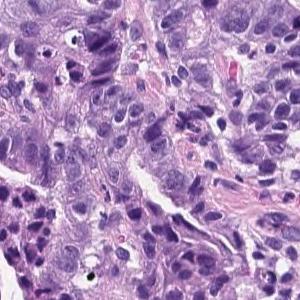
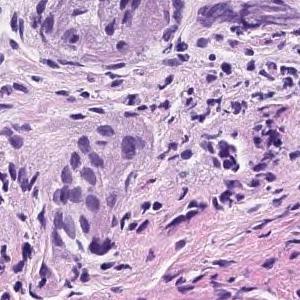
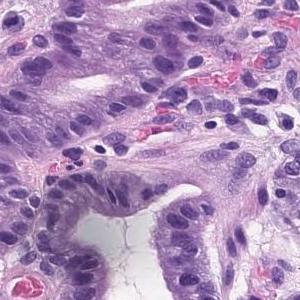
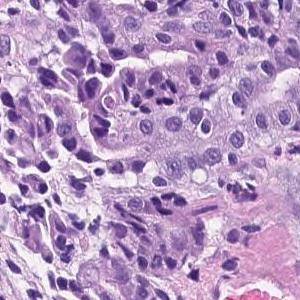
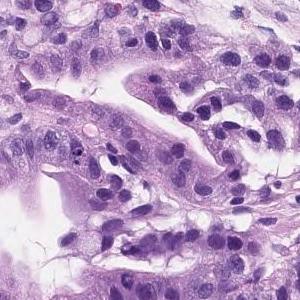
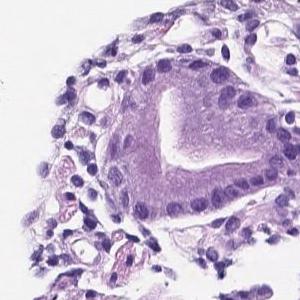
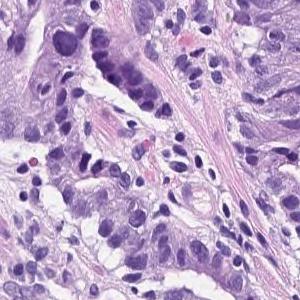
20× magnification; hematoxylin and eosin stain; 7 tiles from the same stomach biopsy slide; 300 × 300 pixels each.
Pathology report for the biopsy slide these tiles were cut from. The report and the diagnosis describe the slide as a whole, so these tiles may not show every feature named and may include non-tumor tissue.
Tumor tissue consisting of medium-sized and irregular ducts is observed infiltrating in the superficial epithelium. Tumor cells are highly columnar, with nuclei aligned basolaterally and polarized. Well differentiated tubular adenocarcinoma.
